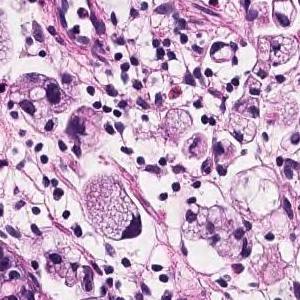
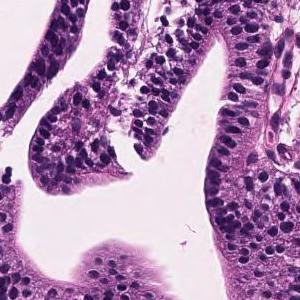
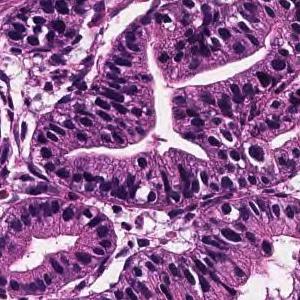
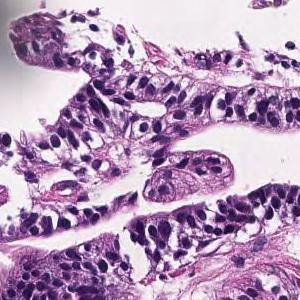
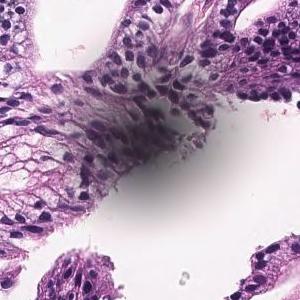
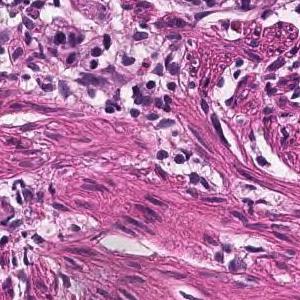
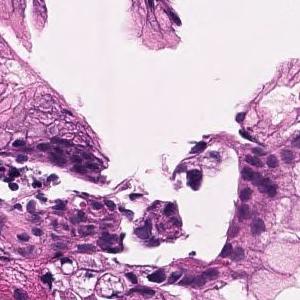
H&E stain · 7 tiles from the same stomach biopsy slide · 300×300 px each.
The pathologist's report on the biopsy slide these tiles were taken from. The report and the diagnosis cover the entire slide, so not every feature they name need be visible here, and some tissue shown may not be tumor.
Tumor tissue consisting of large papillary structures or irregular glandular ducts partially fused and infiltrated is observed in the superficial epithelium. Well to moderately differentiated tubular adenocarcinoma.
Labeled in the dataset as moderately differentiated tubular adenocarcinoma.
